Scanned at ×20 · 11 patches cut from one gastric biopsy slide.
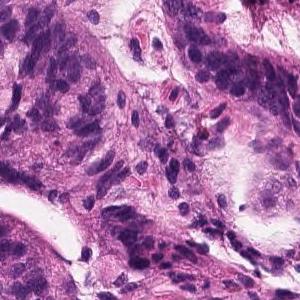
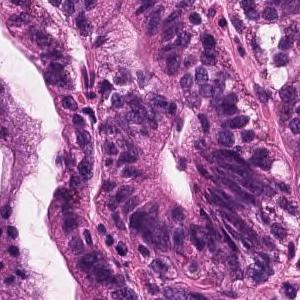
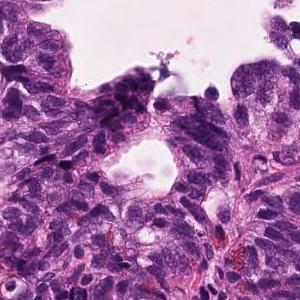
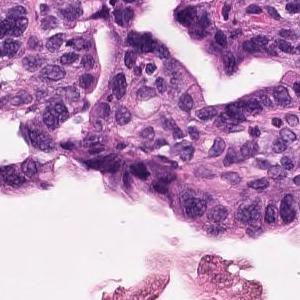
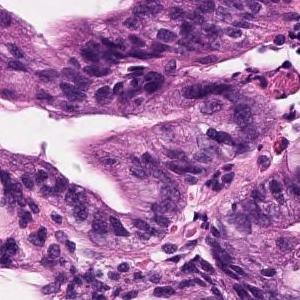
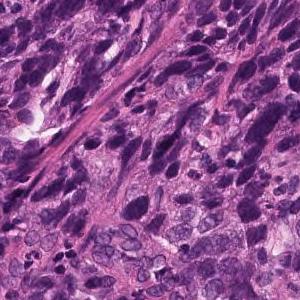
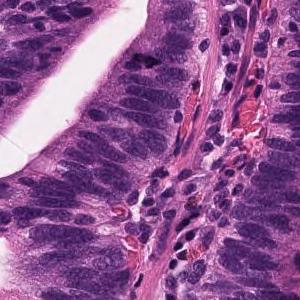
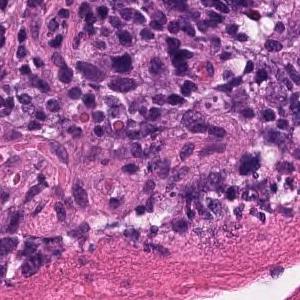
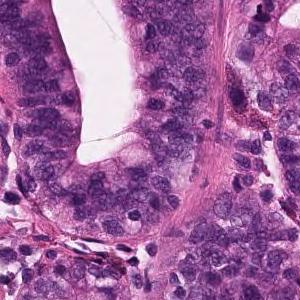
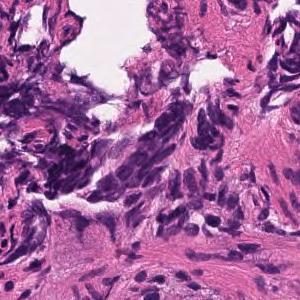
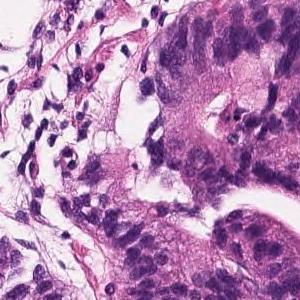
Pathology report for the slide these tiles were cut from. The findings and the diagnosis refer to the entire slide; these tiles show only part of it, possibly with non-tumor tissue, and may not show every feature named.
In the superficial epithelium, tumor tissue that invades by forming medium-sized to small, irregular ducts is observed. Moderately differentiated adenocarcinoma.
Histological subtype: Moderately differentiated tubular adenocarcinoma.
